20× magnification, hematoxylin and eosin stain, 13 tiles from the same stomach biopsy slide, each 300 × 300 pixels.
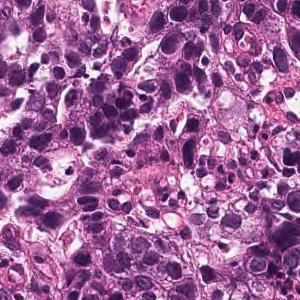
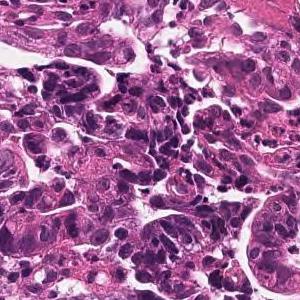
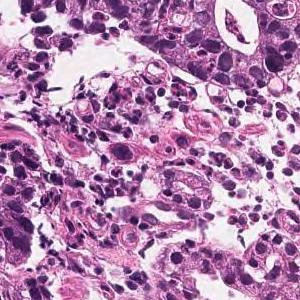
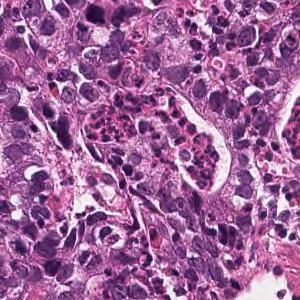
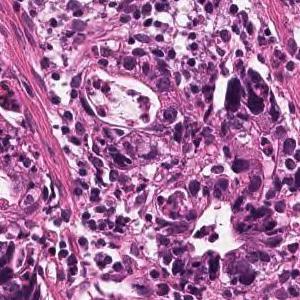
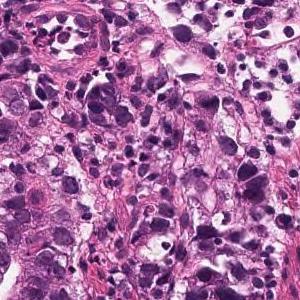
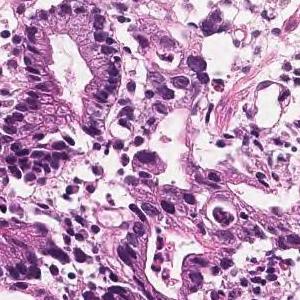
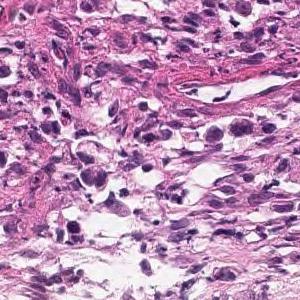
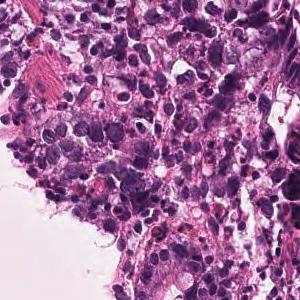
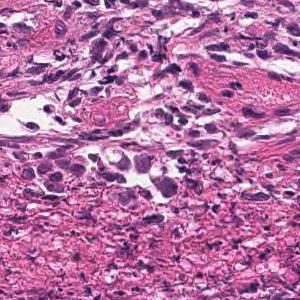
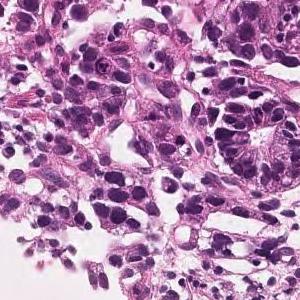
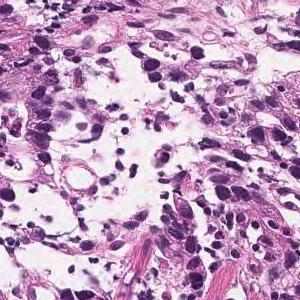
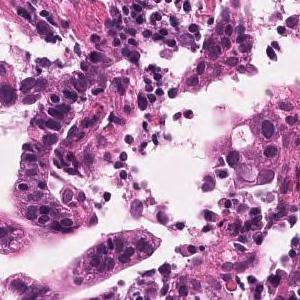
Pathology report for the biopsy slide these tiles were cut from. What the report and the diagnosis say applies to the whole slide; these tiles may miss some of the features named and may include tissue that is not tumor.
In the superficial epithelium, tumor tissue that invades by forming medium-sized to small, irregular ducts is observed. Moderately differentiated adenocarcinoma.
Tumor subtype: moderately differentiated tubular adenocarcinoma.
